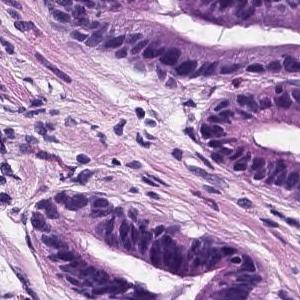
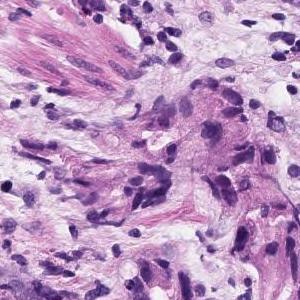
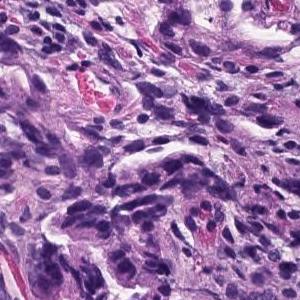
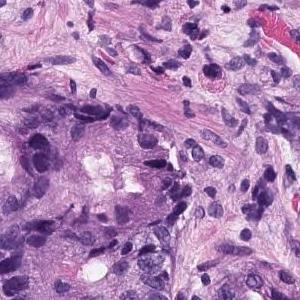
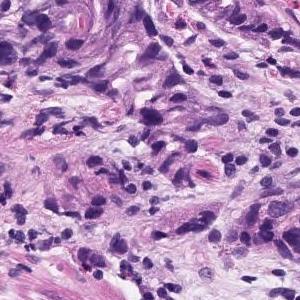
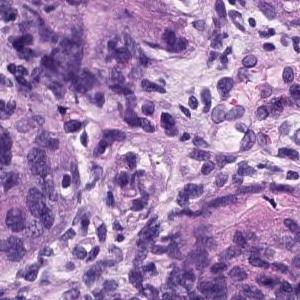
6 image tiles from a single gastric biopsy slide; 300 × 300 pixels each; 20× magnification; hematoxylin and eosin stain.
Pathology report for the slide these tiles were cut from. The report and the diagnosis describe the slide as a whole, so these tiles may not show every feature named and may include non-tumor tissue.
In the superficial epithelium, tumor tissue that invades by forming medium-sized to small, irregular ducts is observed. Moderately differentiated adenocarcinoma.
Tumor subtype: moderately differentiated tubular adenocarcinoma.
